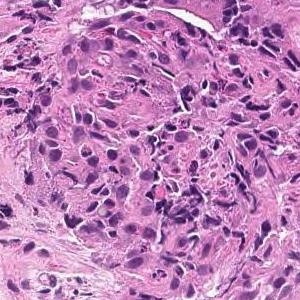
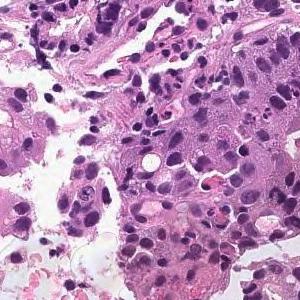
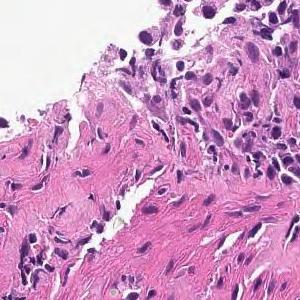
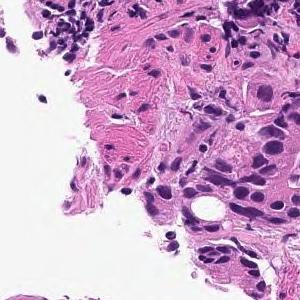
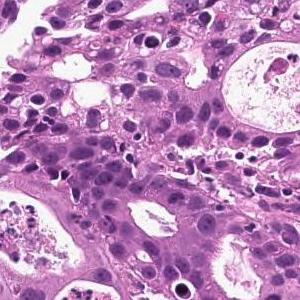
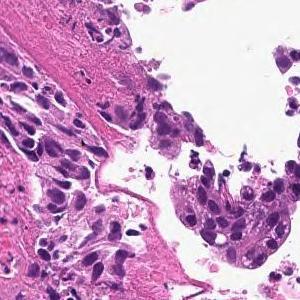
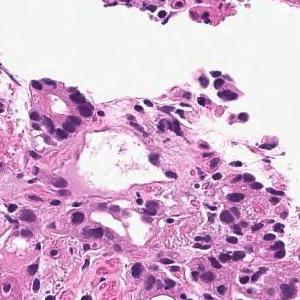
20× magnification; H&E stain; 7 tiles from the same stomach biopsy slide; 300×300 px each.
The pathologist's report on the biopsy slide these tiles were taken from. Both the report and the diagnosis are for the whole slide: these tiles need not show every feature named, and some of the tissue shown may not be tumor.
On the superficial epithelium, tumor tissue consisting of large irregular glandular ducts partially fused and infiltrated is observed. Well to moderately differentiated tubular adenocarcinoma (well differentiated tubular adenocarcinoma, moderately differentiated tubular adenocarcinoma)
Histologic type: Well to moderately differentiated tubular adenocarcinoma.
